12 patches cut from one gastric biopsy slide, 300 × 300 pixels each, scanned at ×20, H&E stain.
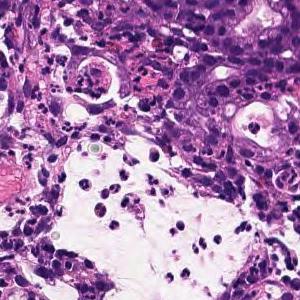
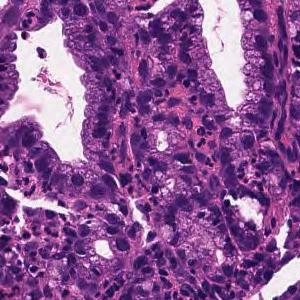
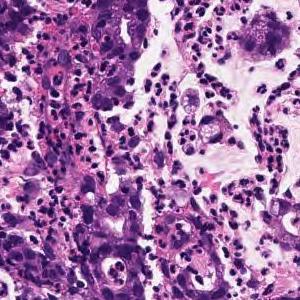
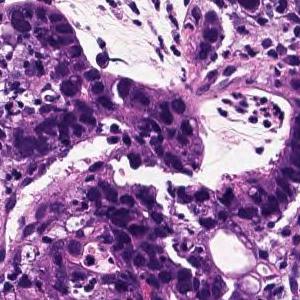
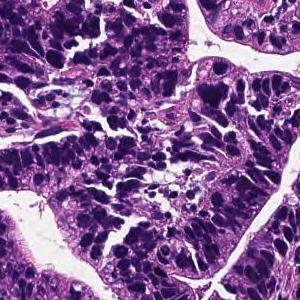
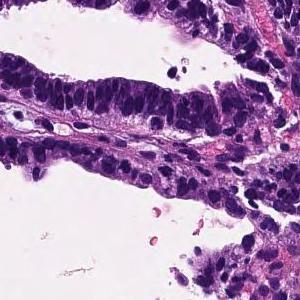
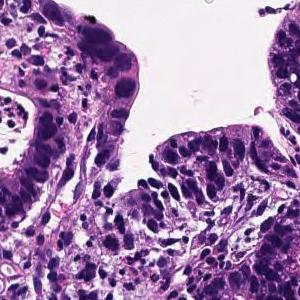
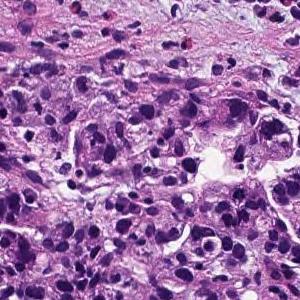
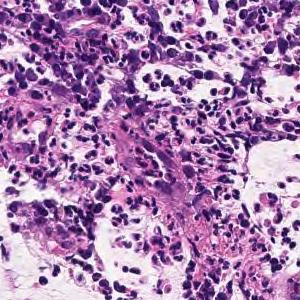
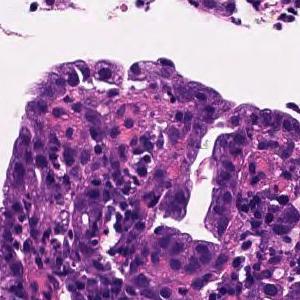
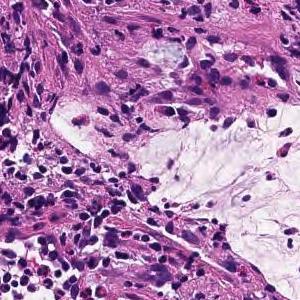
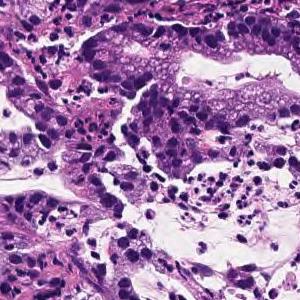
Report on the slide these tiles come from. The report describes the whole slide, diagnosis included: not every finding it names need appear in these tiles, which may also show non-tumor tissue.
On the superficial epithelium, tumor tissue consisting of large, irregular glandular ducts partially fused and infiltrated is observed. Well to moderately differentiated tubular adenocarcinoma (well differentiated tubular adenocarcinoma, moderately differentiated tubular adenocarcinoma)
Histological subtype: Well to moderately differentiated tubular adenocarcinoma.
